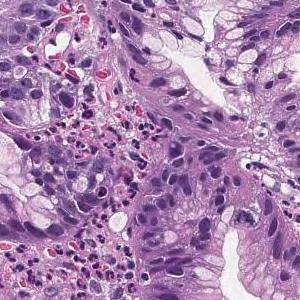
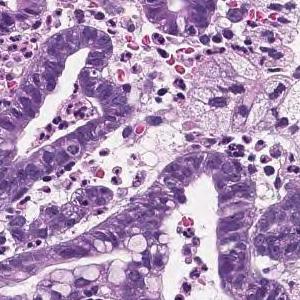
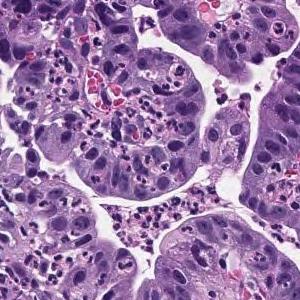
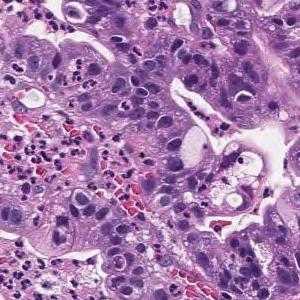
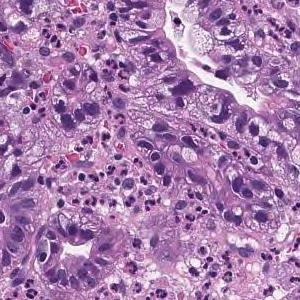
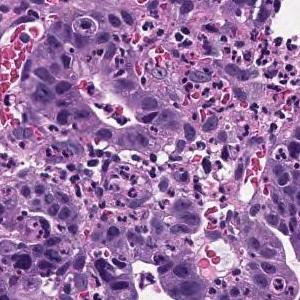
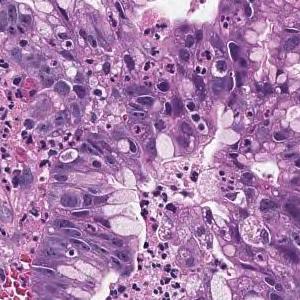
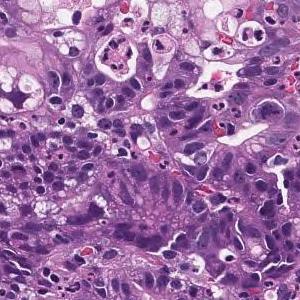
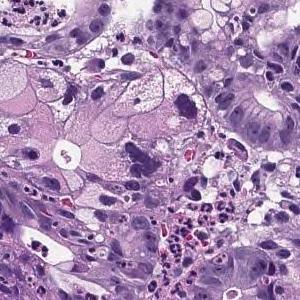
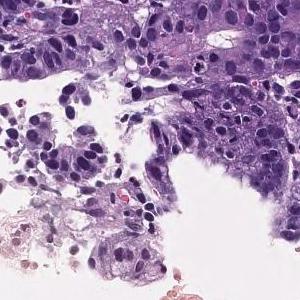
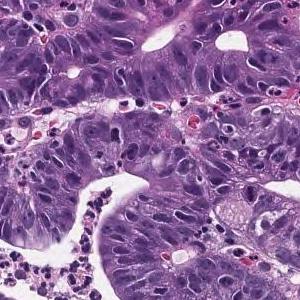
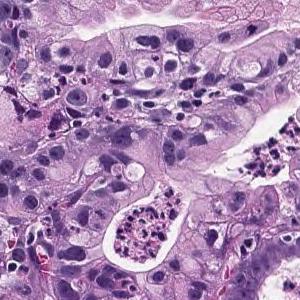
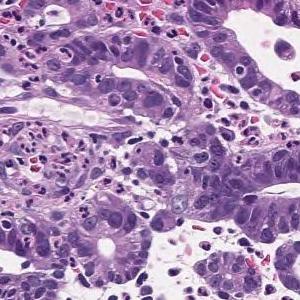
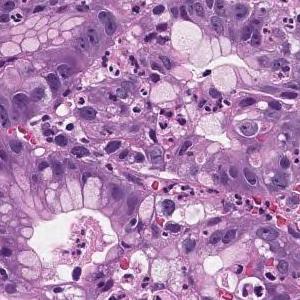
14 tiles from the same stomach biopsy slide, H&E.
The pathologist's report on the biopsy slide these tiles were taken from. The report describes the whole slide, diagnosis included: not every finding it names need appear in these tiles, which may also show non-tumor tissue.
In the superficial epithelium, tumor tissue that invades by forming medium-sized to small, irregular ducts is observed. Well differentiated tubular adenocarcinoma.
